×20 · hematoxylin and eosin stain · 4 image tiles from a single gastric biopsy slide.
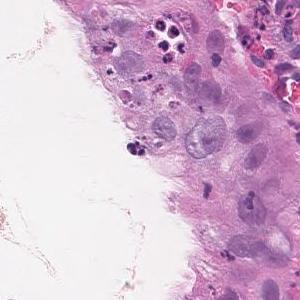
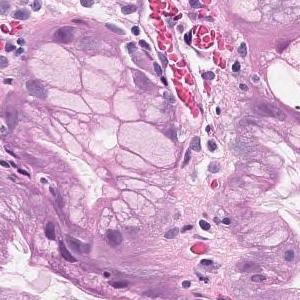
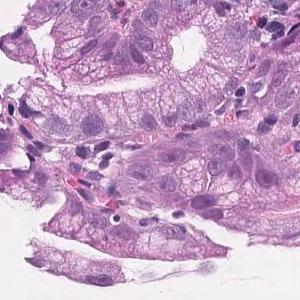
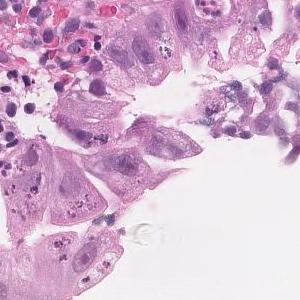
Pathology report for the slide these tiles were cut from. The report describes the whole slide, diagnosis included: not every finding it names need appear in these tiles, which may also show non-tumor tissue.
Group 5, Adenocarcinoma. Moderately differentiated tubular adenocarcinoma
